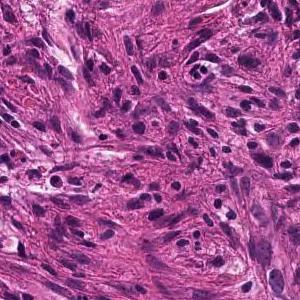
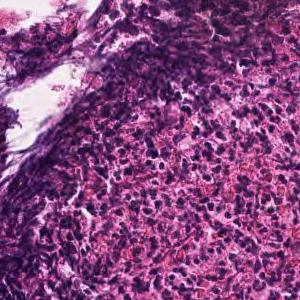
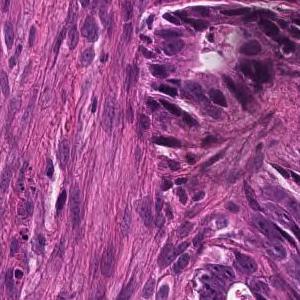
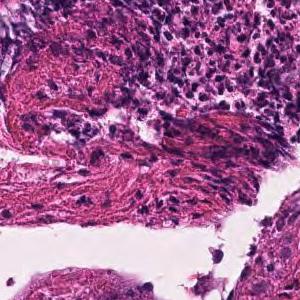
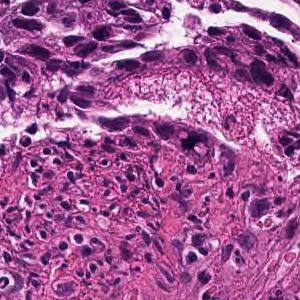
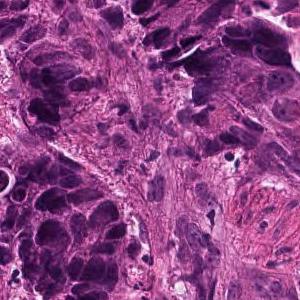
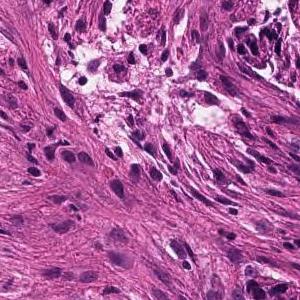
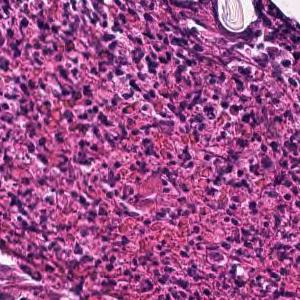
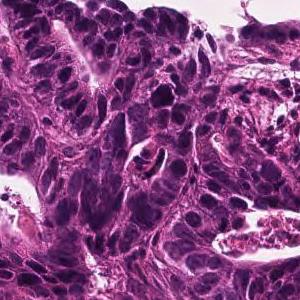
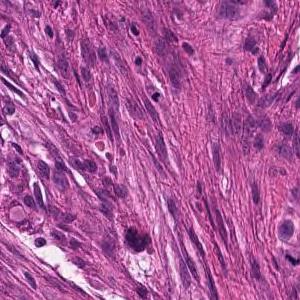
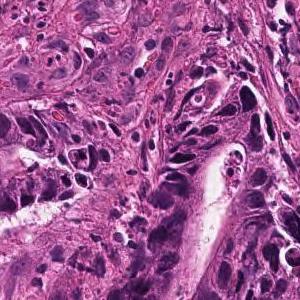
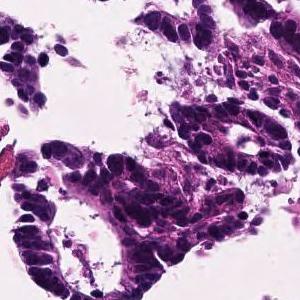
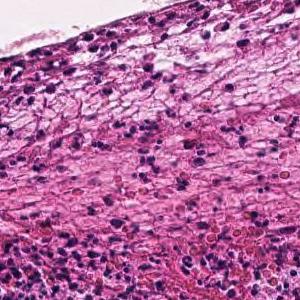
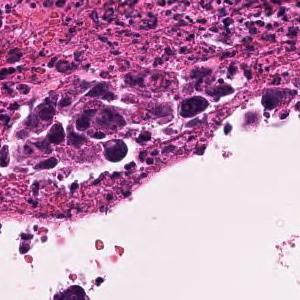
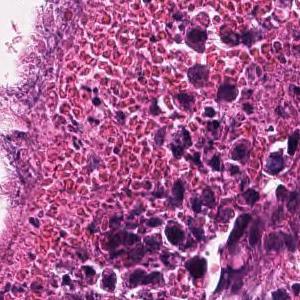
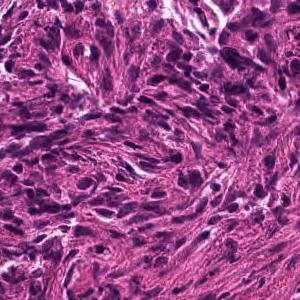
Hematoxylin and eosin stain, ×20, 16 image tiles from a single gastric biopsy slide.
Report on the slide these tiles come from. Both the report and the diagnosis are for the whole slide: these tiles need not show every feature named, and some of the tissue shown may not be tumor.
In the superficial epithelium, tumor tissue that invades by forming medium-sized to small, irregular ducts is observed. moderately differentiated tubular adenocarcinoma.
